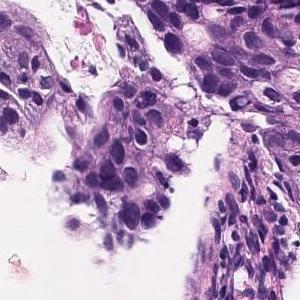
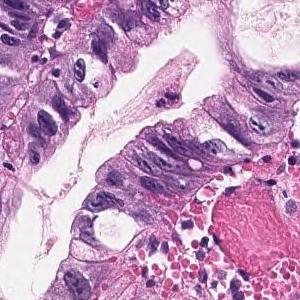
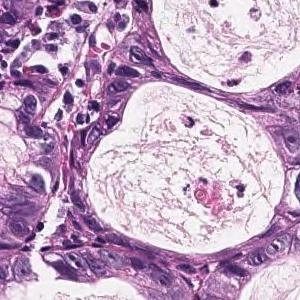
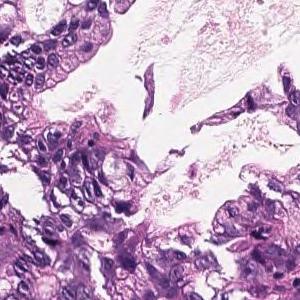
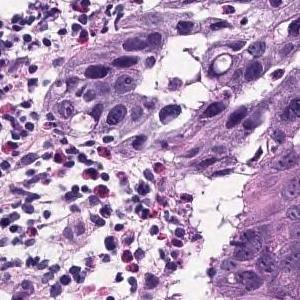
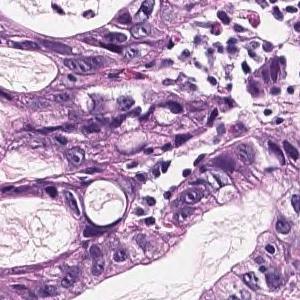
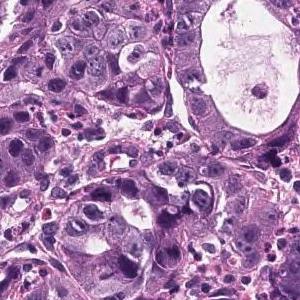
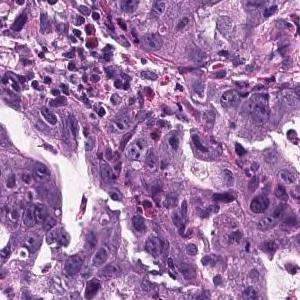
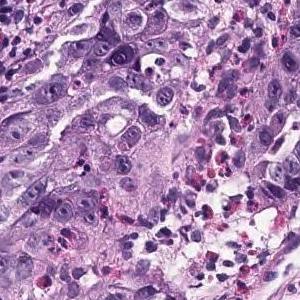
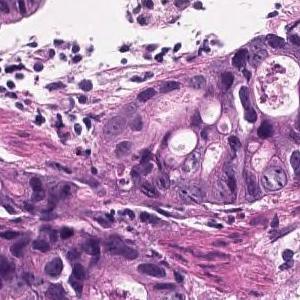
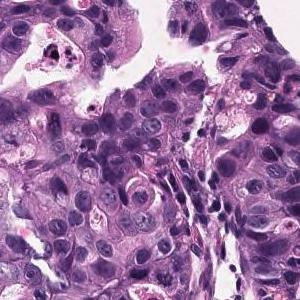
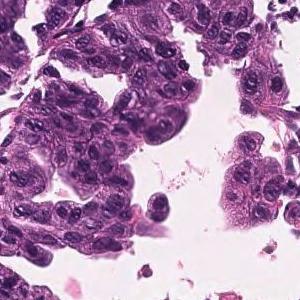
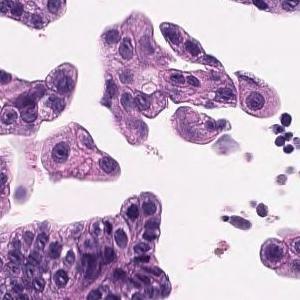
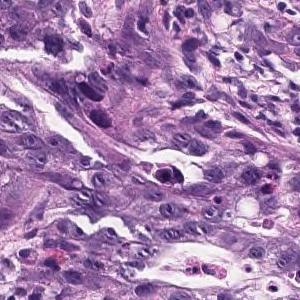
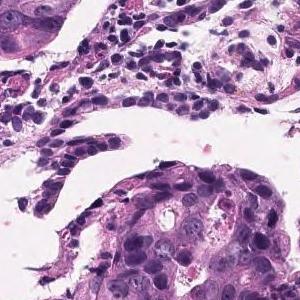
15 tiles from the same stomach biopsy slide, H&E, 20× magnification.
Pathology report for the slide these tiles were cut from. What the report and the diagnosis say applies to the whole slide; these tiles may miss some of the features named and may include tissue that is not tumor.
Tumor cells are large, highly columnar, large club-shaped nuclei, and are associated with chromatin aggregation. Papillary adenocarcinoma.
